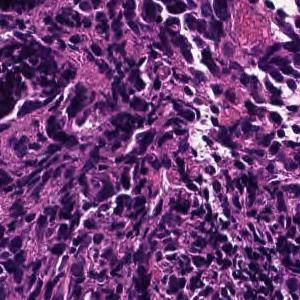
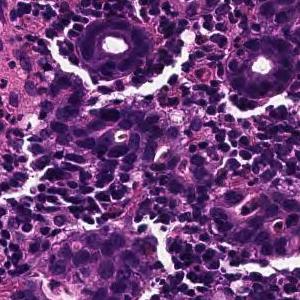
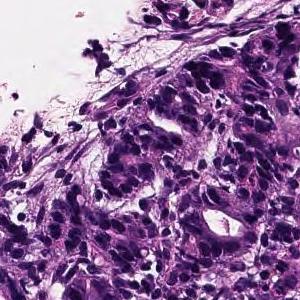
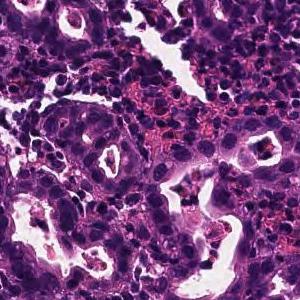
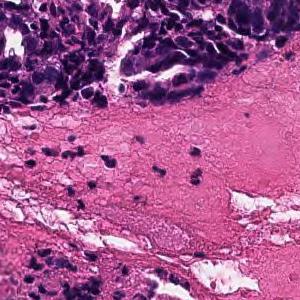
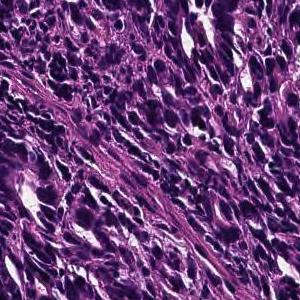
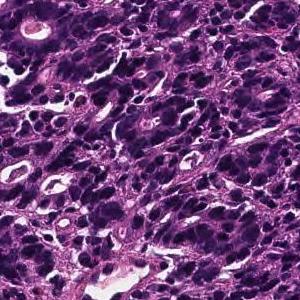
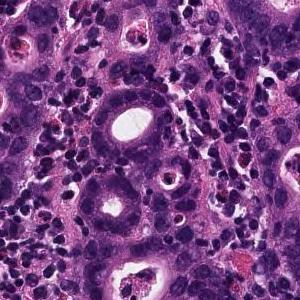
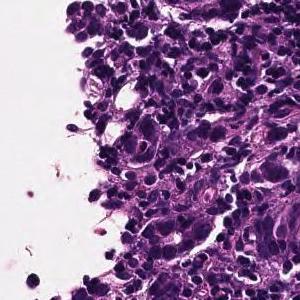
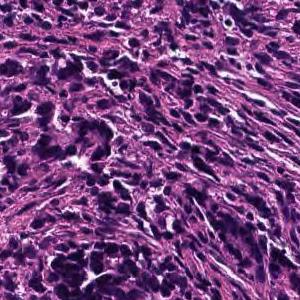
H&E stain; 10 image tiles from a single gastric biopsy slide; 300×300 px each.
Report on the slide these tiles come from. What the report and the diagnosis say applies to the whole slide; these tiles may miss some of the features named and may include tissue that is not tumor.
On the superficial epithelium, tumor tissue is found in which medium-sized irregular gland ducts fuse with each other and infiltrate. moderately differentiated tubular adenocarcinoma or Poorly differentiated adenocarcinoma, non-solid type
Histologic type: Moderately to poorly differentiated adenocarcinoma.
"Non-solid type" is a category of the Japanese Classification of Gastric Carcinoma.
